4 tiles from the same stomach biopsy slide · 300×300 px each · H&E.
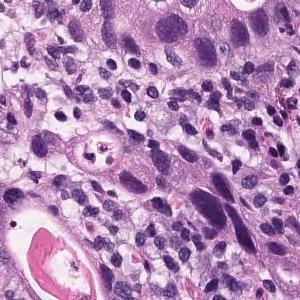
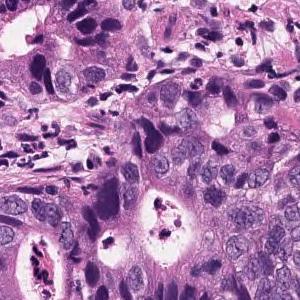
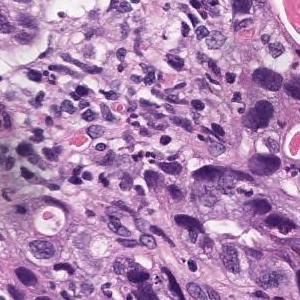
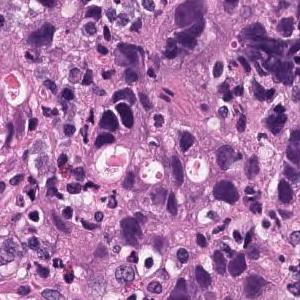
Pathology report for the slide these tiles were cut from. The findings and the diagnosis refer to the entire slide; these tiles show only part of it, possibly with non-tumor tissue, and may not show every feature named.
In the superficial epithelium, tumor tissue that invades by forming medium-sized to small, irregular ducts is observed. Moderately differentiated adenocarcinoma.
Histological subtype: Moderately differentiated tubular adenocarcinoma.
